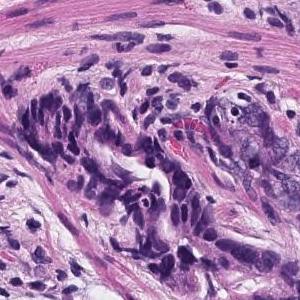
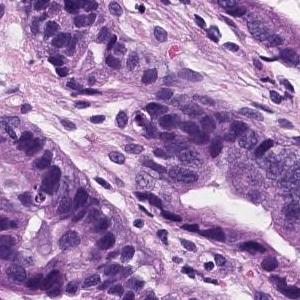
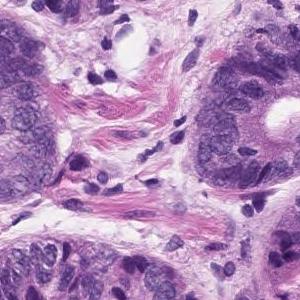
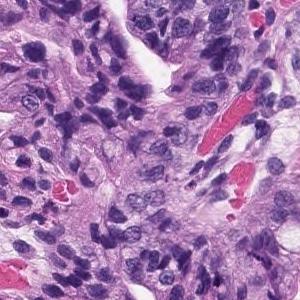
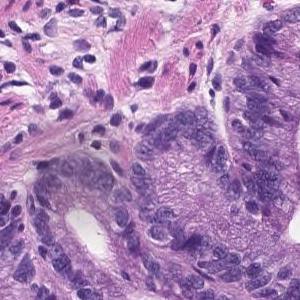
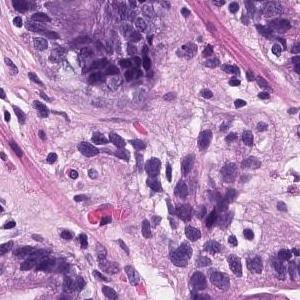
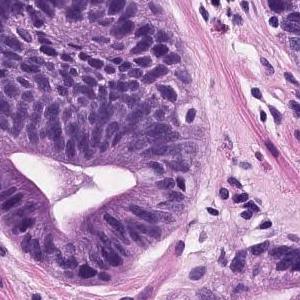
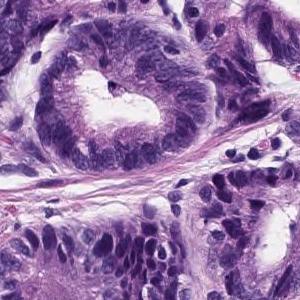
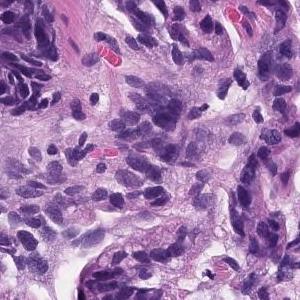
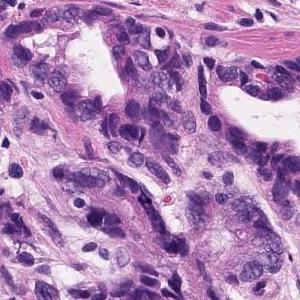
Hematoxylin and eosin stain, 10 tiles cut from one stomach biopsy slide, each 300 × 300 pixels.
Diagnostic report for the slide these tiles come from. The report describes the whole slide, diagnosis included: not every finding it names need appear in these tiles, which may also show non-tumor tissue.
In the superficial epithelium, tumor tissue that invades by forming medium-sized to small, irregular ducts is observed. Moderately differentiated adenocarcinoma.
Tumor subtype: moderately differentiated tubular adenocarcinoma.
